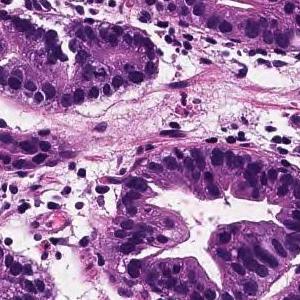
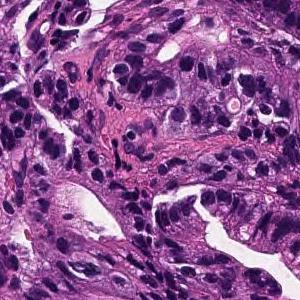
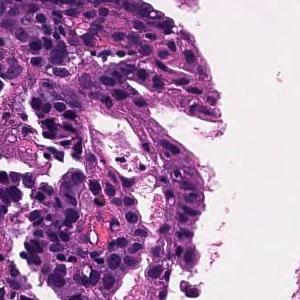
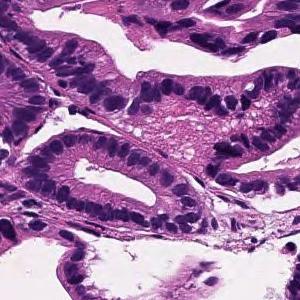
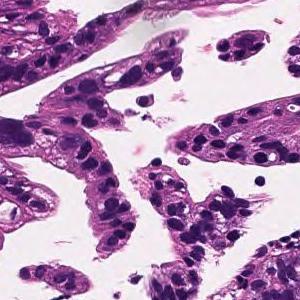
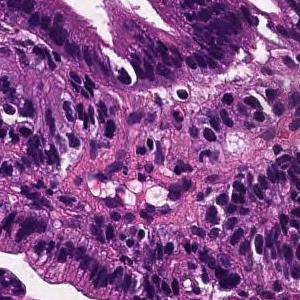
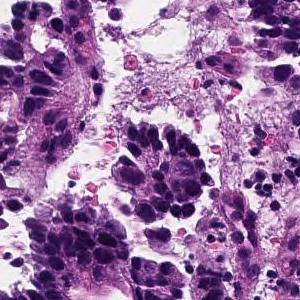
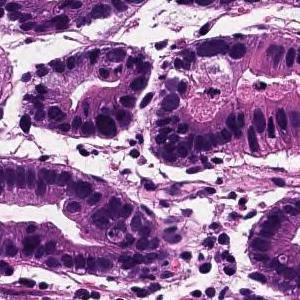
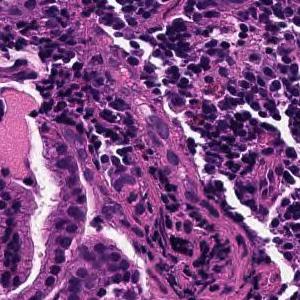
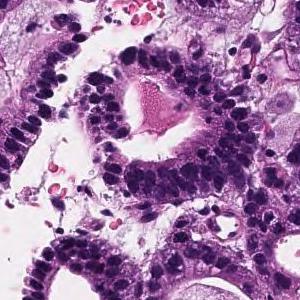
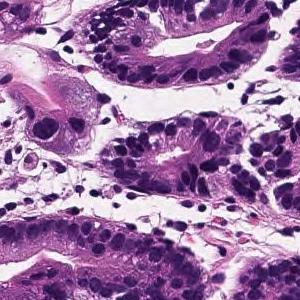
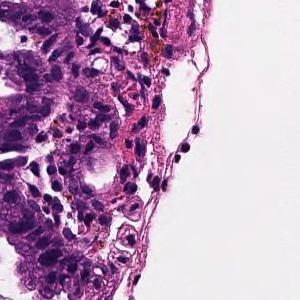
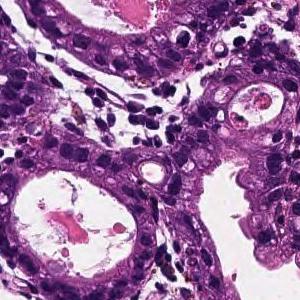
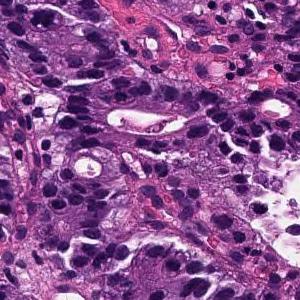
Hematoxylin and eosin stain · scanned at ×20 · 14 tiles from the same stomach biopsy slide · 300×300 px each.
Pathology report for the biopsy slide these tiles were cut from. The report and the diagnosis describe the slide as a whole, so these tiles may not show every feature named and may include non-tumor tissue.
From the superficial epithelium to the muscularis mucosae, tumor tissue consisting of medium-sized and irregular glandular ducts infiltrating is observed. Well differentiated tubular adenocarcinoma
